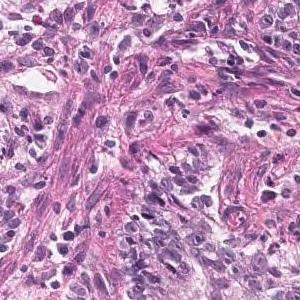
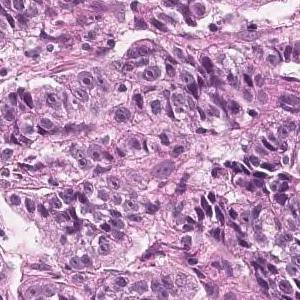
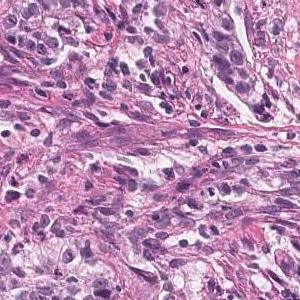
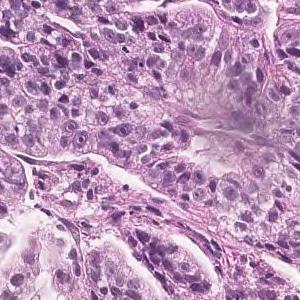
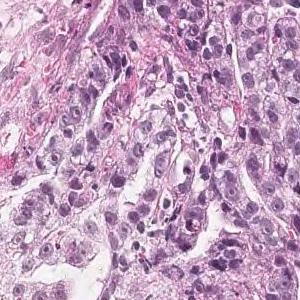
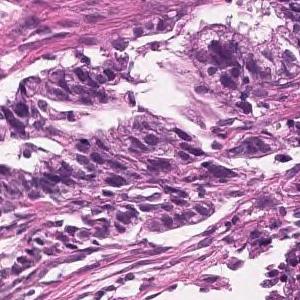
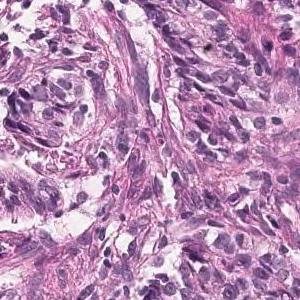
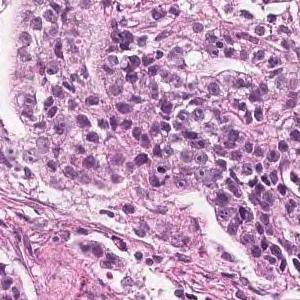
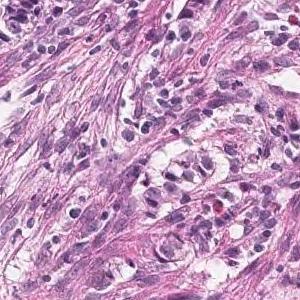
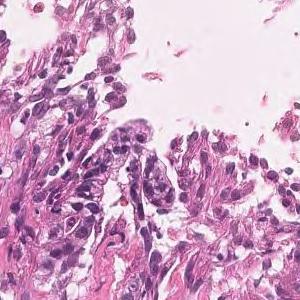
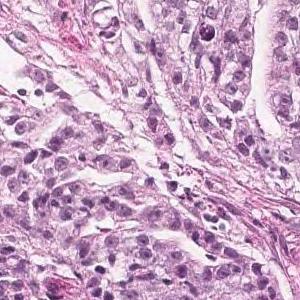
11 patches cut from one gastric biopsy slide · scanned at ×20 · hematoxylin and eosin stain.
The pathologist's report on the biopsy slide these tiles were taken from. The report and the diagnosis cover the entire slide, so not every feature they name need be visible here, and some tissue shown may not be tumor.
Tumor tissue in which highly columnar atypical epithelial cells with nuclear enlargement and increased nuclear chromatin show papillary to papillary ductal structure and proliferate is observed. Papillary adenocarcinoma.
